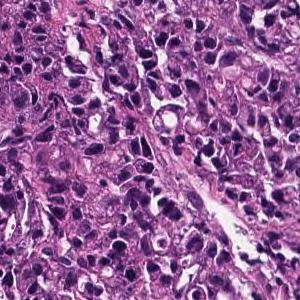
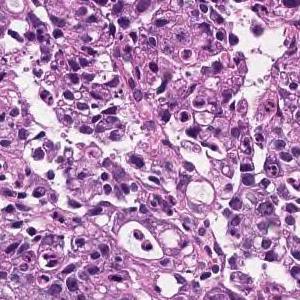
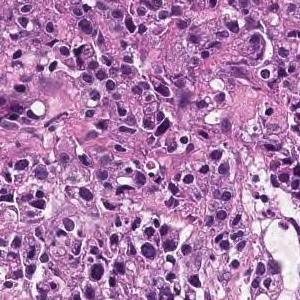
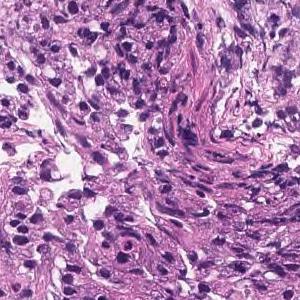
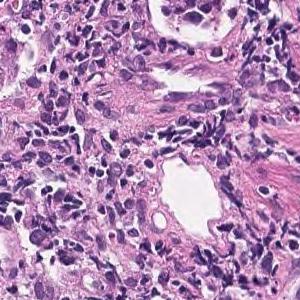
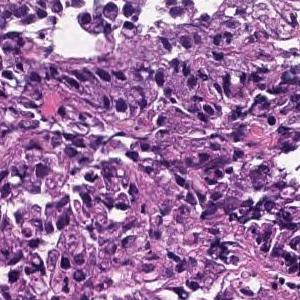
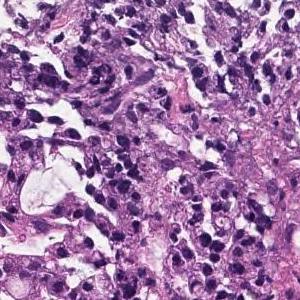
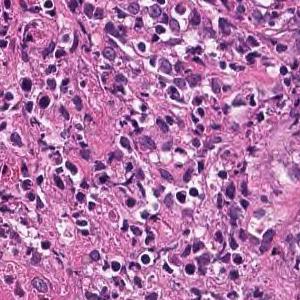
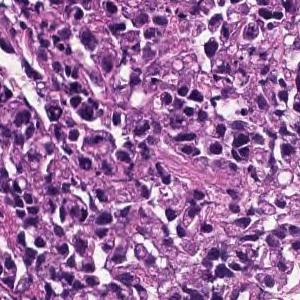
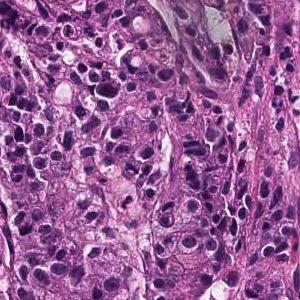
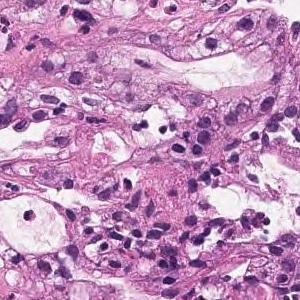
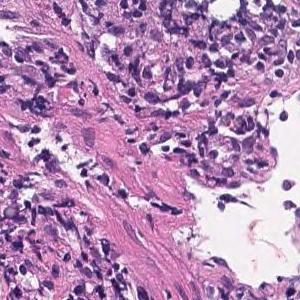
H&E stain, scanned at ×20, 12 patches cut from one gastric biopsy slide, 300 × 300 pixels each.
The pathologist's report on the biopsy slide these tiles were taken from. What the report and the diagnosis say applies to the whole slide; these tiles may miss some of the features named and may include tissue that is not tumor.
Medium to small, irregular glandular ducts are formed in the superficial epithelium, and in some cases, the glandular ducts are fused to show solid alveolar lesions and infiltrating tumor tissue is observed. Moderately to poorly differentiated adenocarcinoma.
